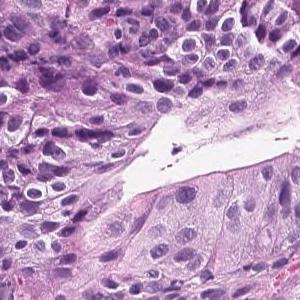
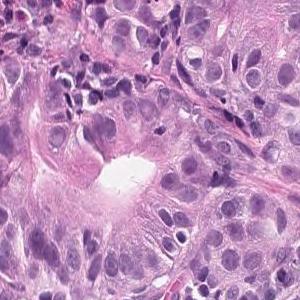
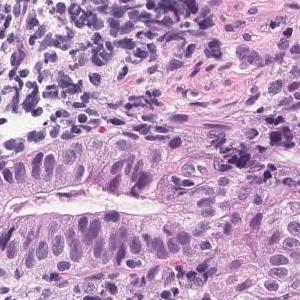
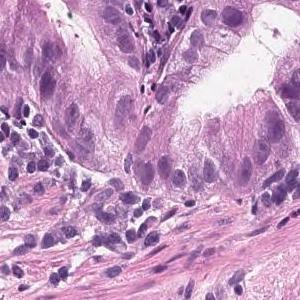
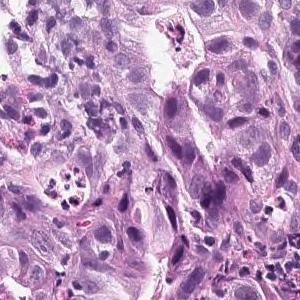
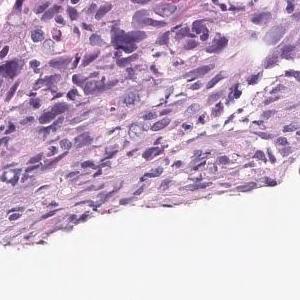
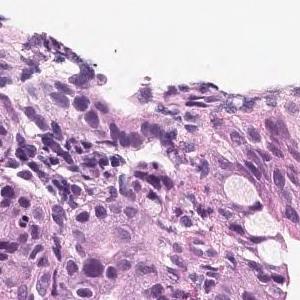
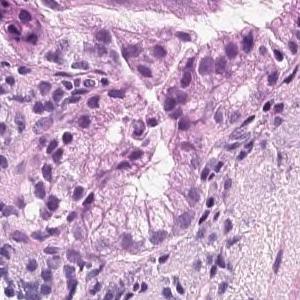
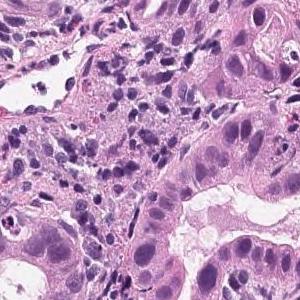
H&E stain; 9 image tiles from a single gastric biopsy slide.
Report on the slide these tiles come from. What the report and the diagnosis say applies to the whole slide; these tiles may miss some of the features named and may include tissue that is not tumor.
On the superficial epithelium, tumor tissue consisting of medium-sized to large-sized, irregular tubules partially fused and densely proliferating is observed. moderately differentiated tubular adenocarcinoma
